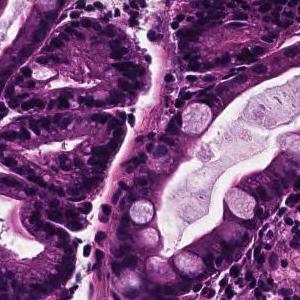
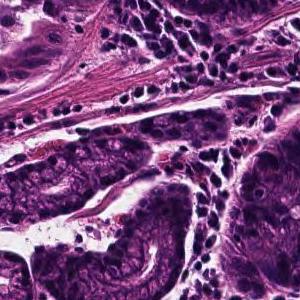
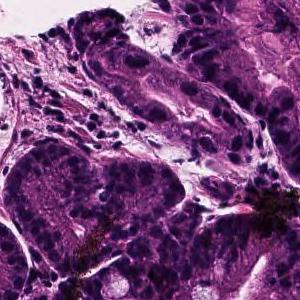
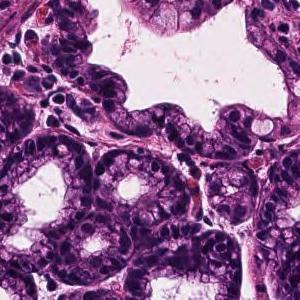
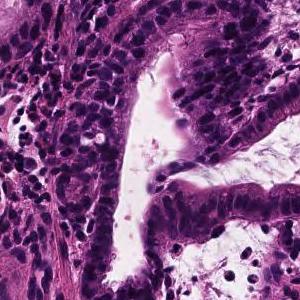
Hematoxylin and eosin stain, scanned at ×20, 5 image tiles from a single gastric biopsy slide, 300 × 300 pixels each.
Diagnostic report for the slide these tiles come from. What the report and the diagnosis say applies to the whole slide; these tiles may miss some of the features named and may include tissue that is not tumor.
In the superficial epithelium, tumor tissue infiltrated by partial fusion of medium-sized to small, irregular glandular ducts is observed. moderately differentiated tubular adenocarcinoma
